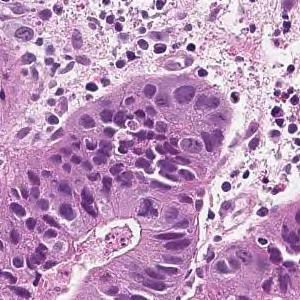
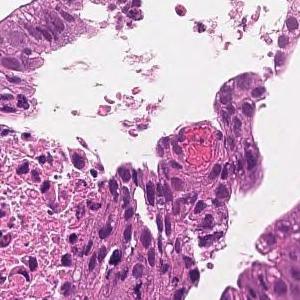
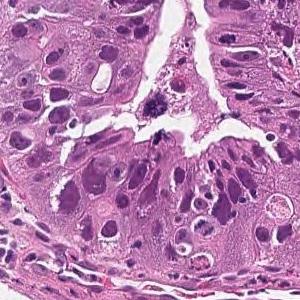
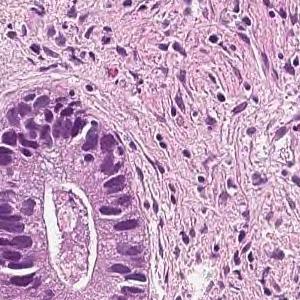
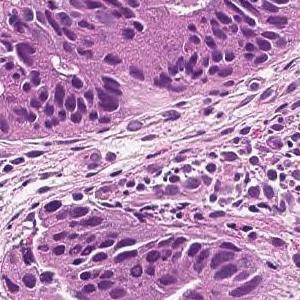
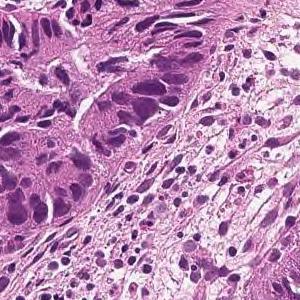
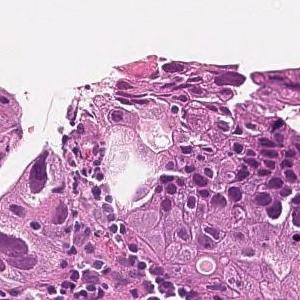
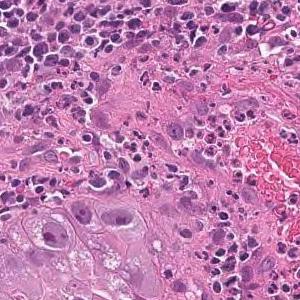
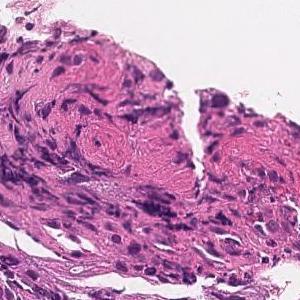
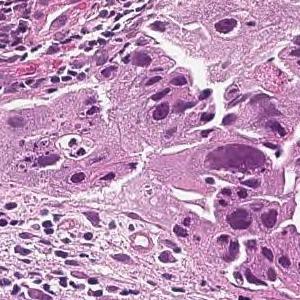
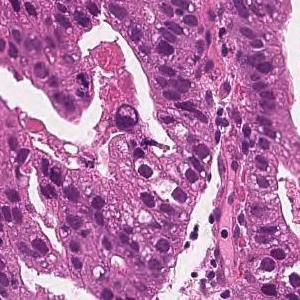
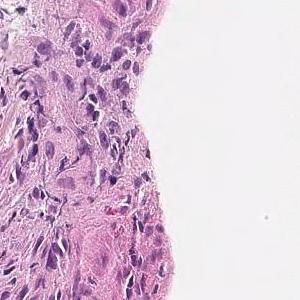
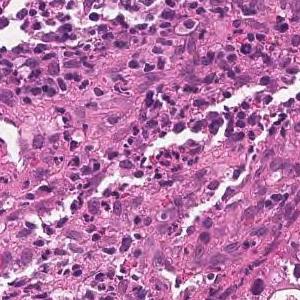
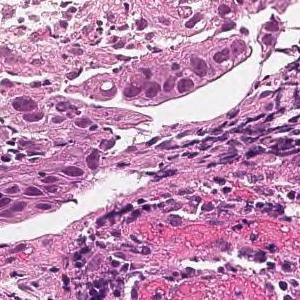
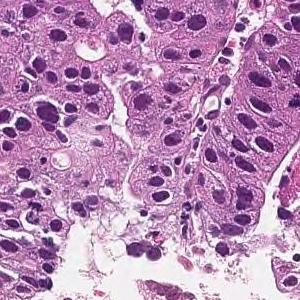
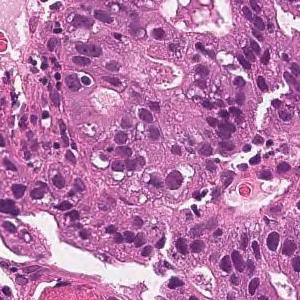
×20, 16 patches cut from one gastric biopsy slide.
Pathology report for the slide these tiles were cut from. What the report and the diagnosis say applies to the whole slide; these tiles may miss some of the features named and may include tissue that is not tumor.
In the superficial epithelium, tumor tissue that invades by forming medium-sized to small, irregular ducts is observed. moderately differentiated tubular adenocarcinoma.
